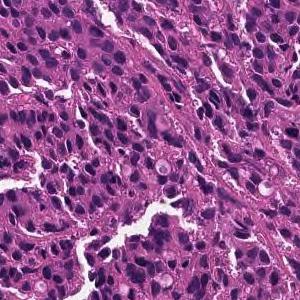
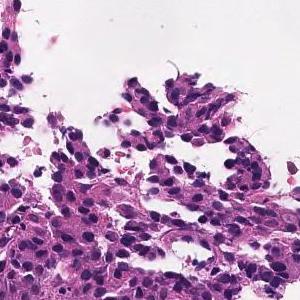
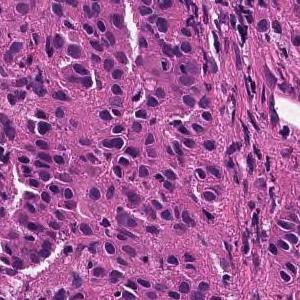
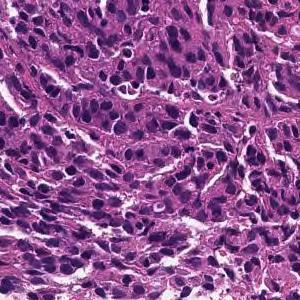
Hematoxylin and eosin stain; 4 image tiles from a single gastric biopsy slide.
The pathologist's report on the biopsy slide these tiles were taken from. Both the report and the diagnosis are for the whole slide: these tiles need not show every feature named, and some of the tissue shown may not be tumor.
The superficial epithelium shows a large sheet-like shape, and some tumor tissue infiltrates with small irregular ducts. Poorly differentiated adenocarcinoma, solid-type
Histological subtype: Poorly differentiated adenocarcinoma, solid type. This name comes from the Japanese Classification of Gastric Carcinoma; the WHO 2019 classification calls it tubular adenocarcinoma, poorly differentiated.
